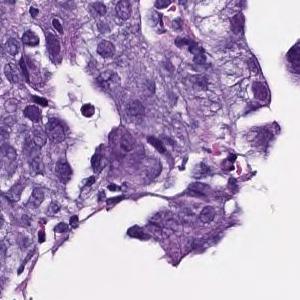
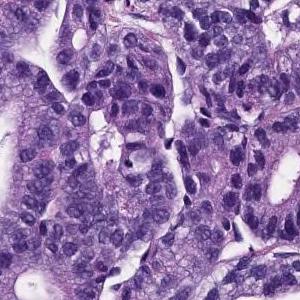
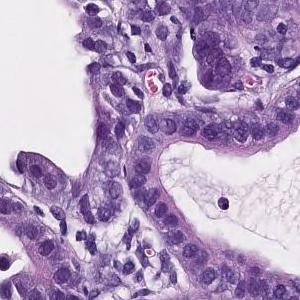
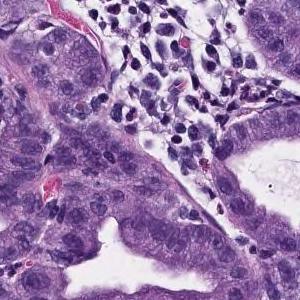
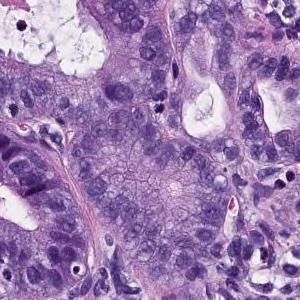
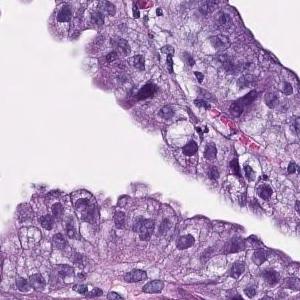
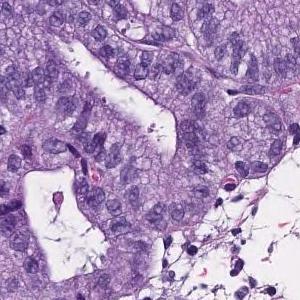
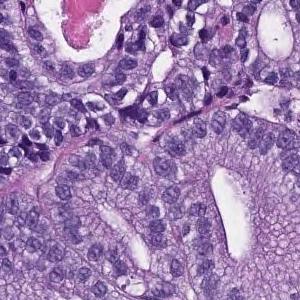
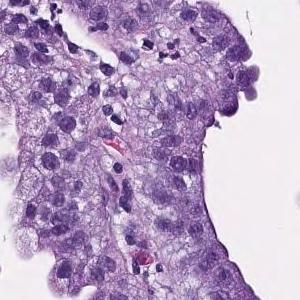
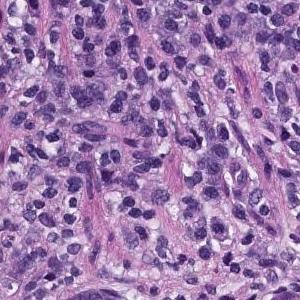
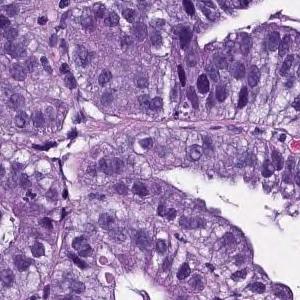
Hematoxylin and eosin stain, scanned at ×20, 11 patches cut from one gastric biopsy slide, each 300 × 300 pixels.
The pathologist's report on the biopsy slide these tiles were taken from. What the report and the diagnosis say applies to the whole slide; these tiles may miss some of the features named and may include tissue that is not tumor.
On the superficial epithelium, tumor tissue that infiltrates by forming medium-sized papillary or small irregular ducts is observed. Papillary adenocarcinoma
